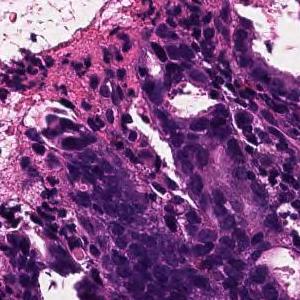
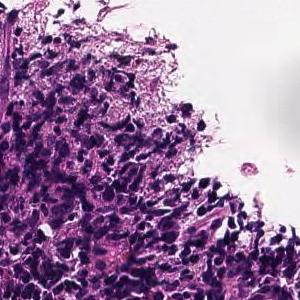
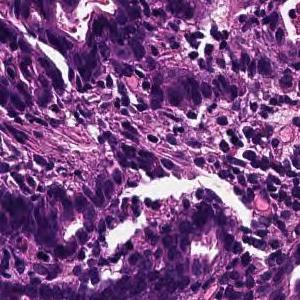
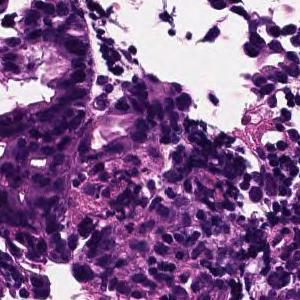
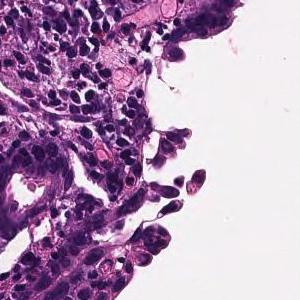
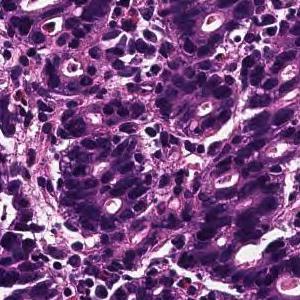
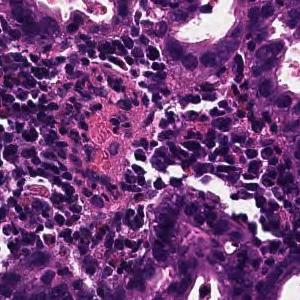
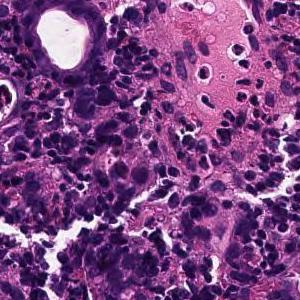
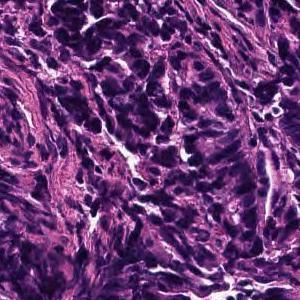
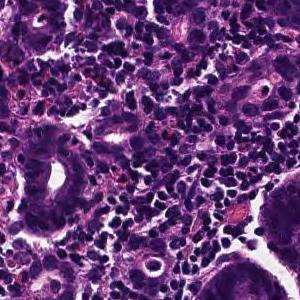
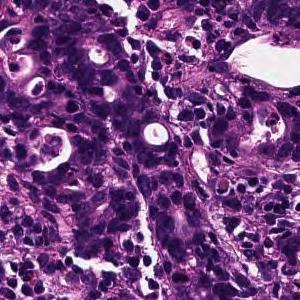
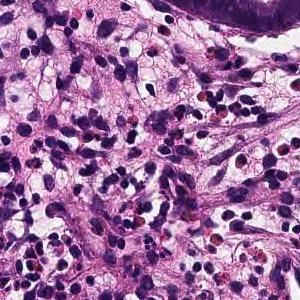
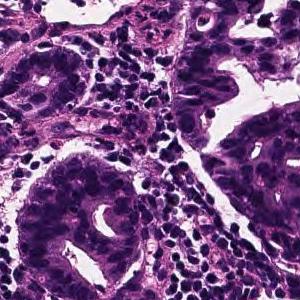
Hematoxylin and eosin stain; 20× magnification; 13 patches cut from one gastric biopsy slide; 300×300 px each.
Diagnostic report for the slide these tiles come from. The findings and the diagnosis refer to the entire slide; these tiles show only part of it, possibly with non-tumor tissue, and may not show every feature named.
On the superficial epithelium, tumor tissue is found in which medium-sized irregular gland ducts fuse with each other and infiltrate. moderately differentiated tubular adenocarcinoma or Poorly differentiated adenocarcinoma, non-solid type
Histologic type: Moderately to poorly differentiated adenocarcinoma.
"Non-solid type" is a category of the Japanese Classification of Gastric Carcinoma.
